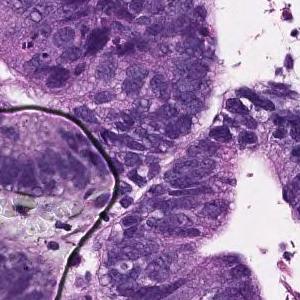
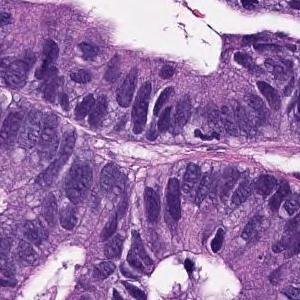
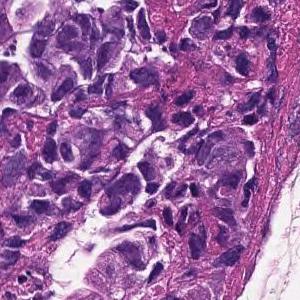
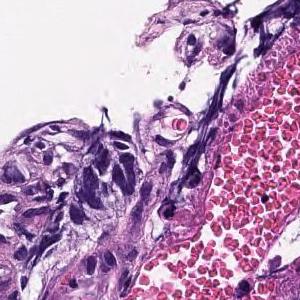
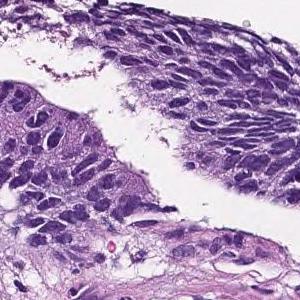
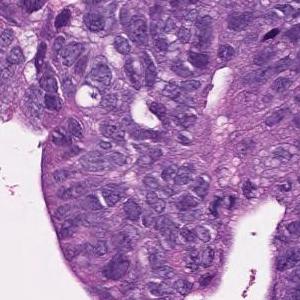
6 image tiles from a single gastric biopsy slide · 300 × 300 pixels each · H&E stain · scanned at ×20.
Pathology report for the slide these tiles were cut from. What the report and the diagnosis say applies to the whole slide; these tiles may miss some of the features named and may include tissue that is not tumor.
In the superficial epithelium, tumor tissue that invades by forming medium-sized to small, irregular ducts is observed. moderately differentiated tubular adenocarcinoma.
